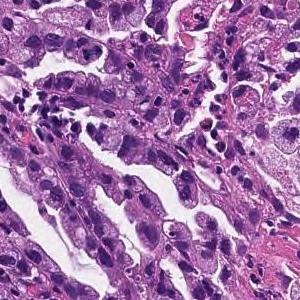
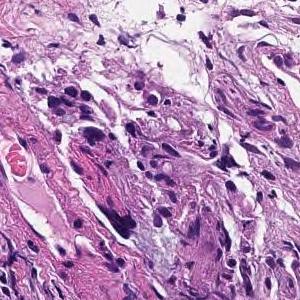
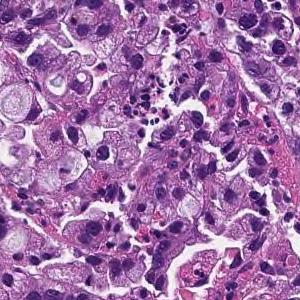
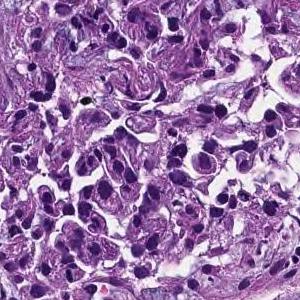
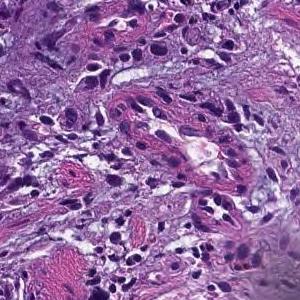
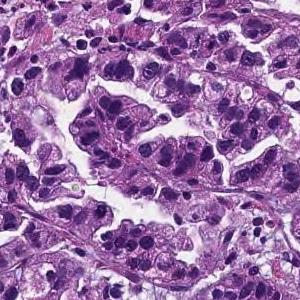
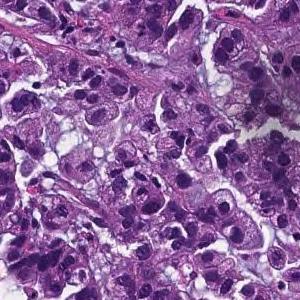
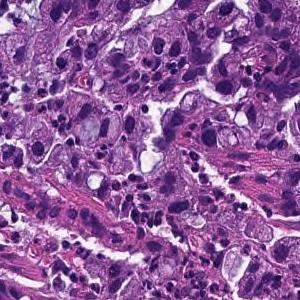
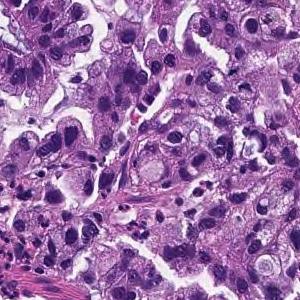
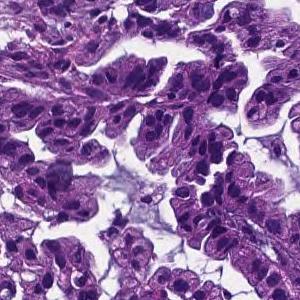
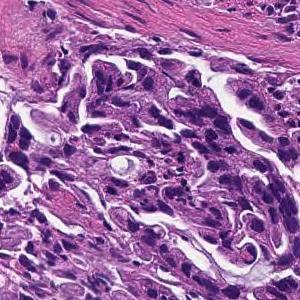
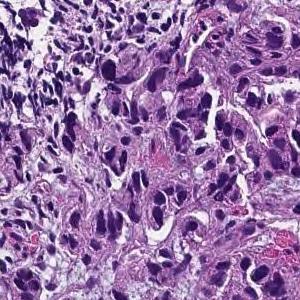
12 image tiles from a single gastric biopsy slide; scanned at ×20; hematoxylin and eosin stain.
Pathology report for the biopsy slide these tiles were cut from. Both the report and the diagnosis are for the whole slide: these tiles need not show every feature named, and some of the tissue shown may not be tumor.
Tumor tissue consisting of medium-sized, cord-like or irregular glandular infiltration is observed in the superficial epithelium. Poorly differentiated adenocarcinoma, non-solid type or moderately differentiated tubular adenocarcinoma
Classified as moderately to poorly differentiated adenocarcinoma.
"Non-solid type" is a category of the Japanese Classification of Gastric Carcinoma.
